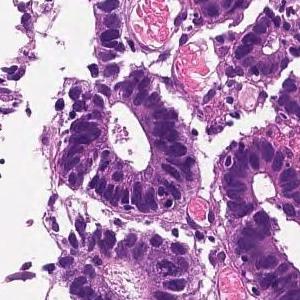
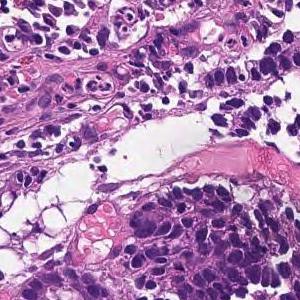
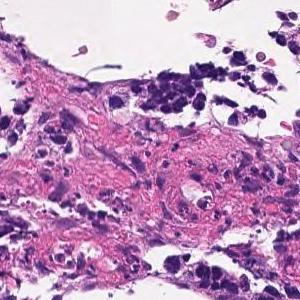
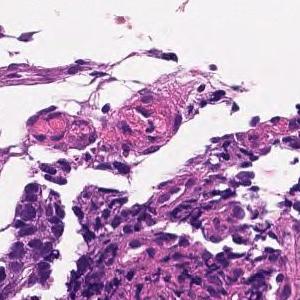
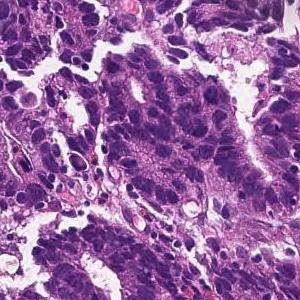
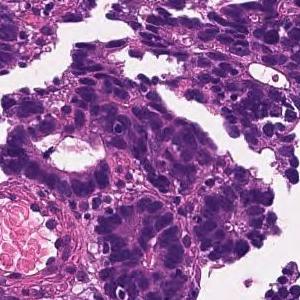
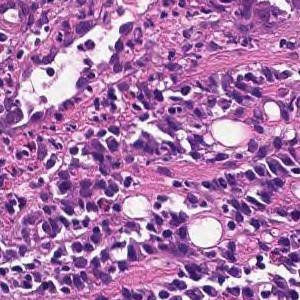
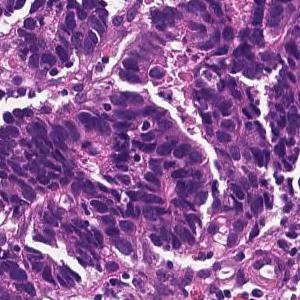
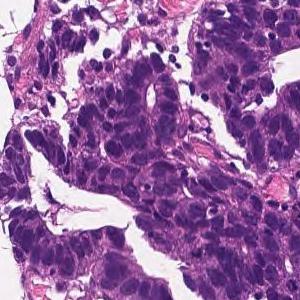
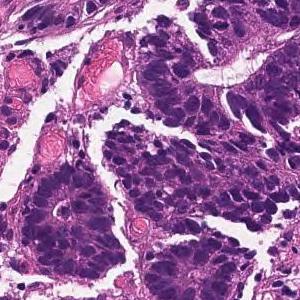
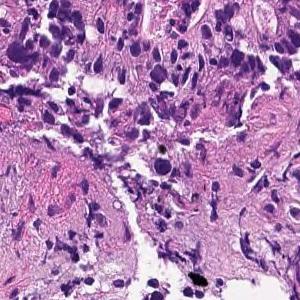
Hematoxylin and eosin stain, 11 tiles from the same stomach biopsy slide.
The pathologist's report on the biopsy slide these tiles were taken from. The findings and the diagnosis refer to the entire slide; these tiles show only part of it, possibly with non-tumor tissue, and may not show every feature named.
In the superficial epithelium, tumor tissue that invades by forming medium-sized to small, irregular ducts is observed. Moderately differentiated adenocarcinoma (moderately differentiated tubular adenocarcinoma).
Classified as moderately differentiated tubular adenocarcinoma.
